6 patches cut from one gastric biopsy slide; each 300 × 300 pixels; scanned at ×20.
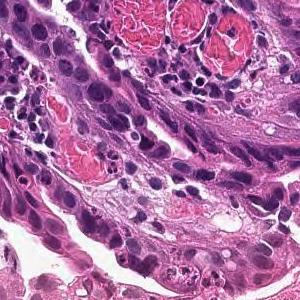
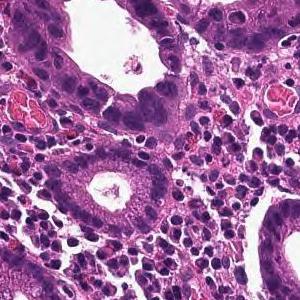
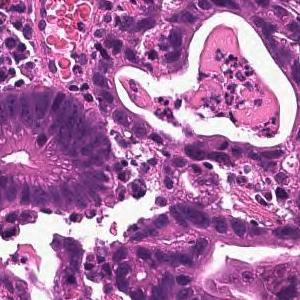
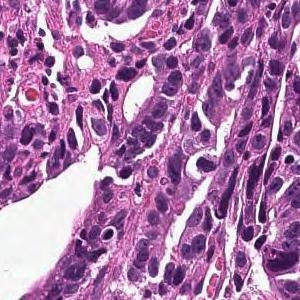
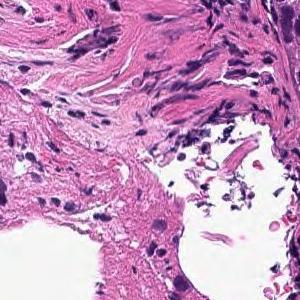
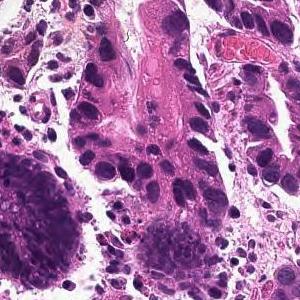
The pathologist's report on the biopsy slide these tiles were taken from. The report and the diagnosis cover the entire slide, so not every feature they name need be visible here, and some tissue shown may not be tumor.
On the superficial epithelium, tumor tissue consisting of large, irregular glandular ducts partially fused and infiltrated is observed. Well to moderately differentiated tubular adenocarcinoma (well differentiated tubular adenocarcinoma, moderately differentiated tubular adenocarcinoma)
Subtype: Well to moderately differentiated tubular adenocarcinoma.
